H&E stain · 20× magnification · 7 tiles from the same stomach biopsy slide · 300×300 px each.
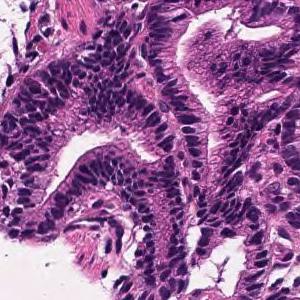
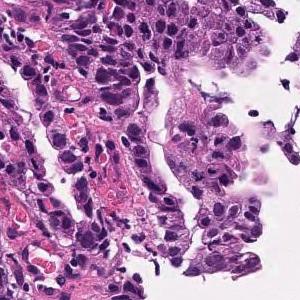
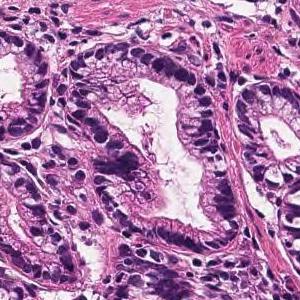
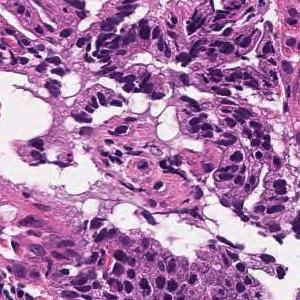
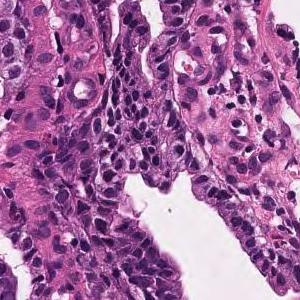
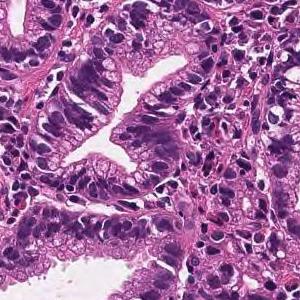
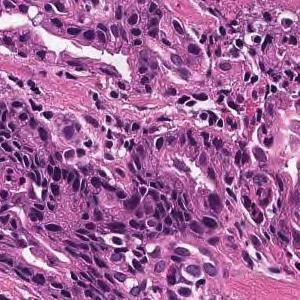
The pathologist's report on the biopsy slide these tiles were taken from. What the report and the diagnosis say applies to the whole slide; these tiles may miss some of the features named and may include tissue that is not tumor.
Tumor tissue in which medium to small irregular ducts infiltrate and proliferate in the submucosa can be seen in the epithelium. Well differentiated tubular adenocarcinoma
